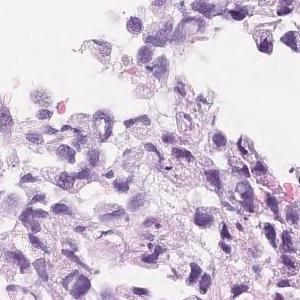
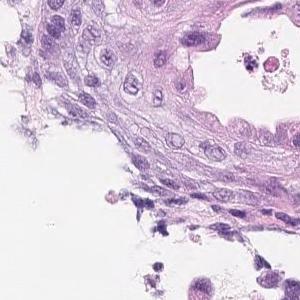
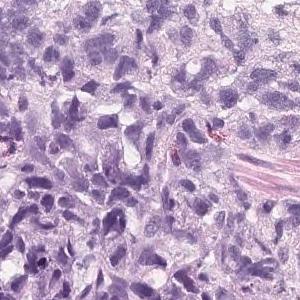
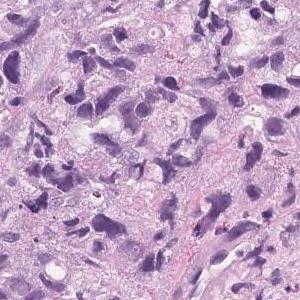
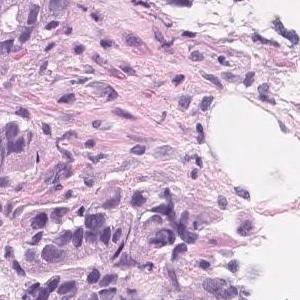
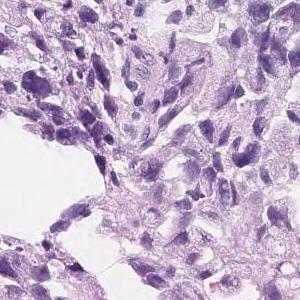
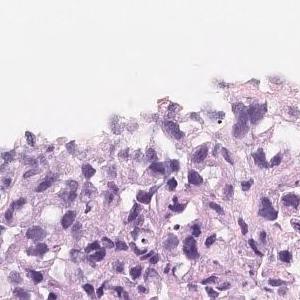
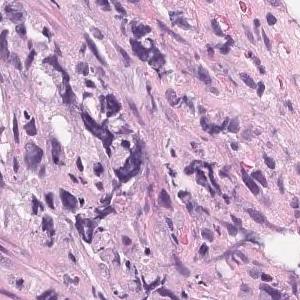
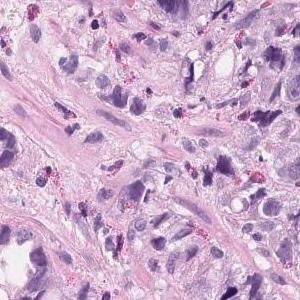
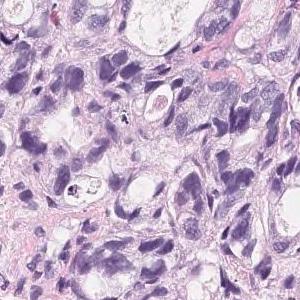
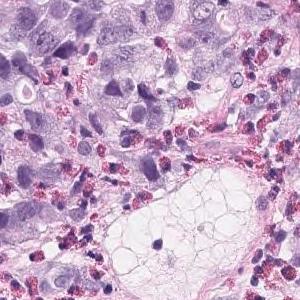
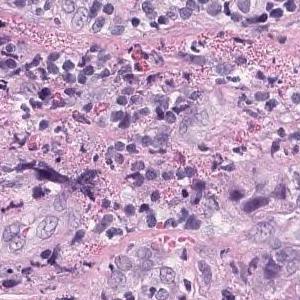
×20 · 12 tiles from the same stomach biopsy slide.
Report on the slide these tiles come from. The findings and the diagnosis refer to the entire slide; these tiles show only part of it, possibly with non-tumor tissue, and may not show every feature named.
Tumor tissue that infiltrates and proliferates by forming small glandular cavities in the superficial layer to the submucosa or forming a mass is observed. moderately differentiated tubular adenocarcinoma
